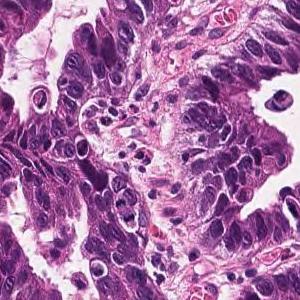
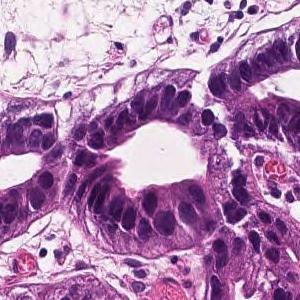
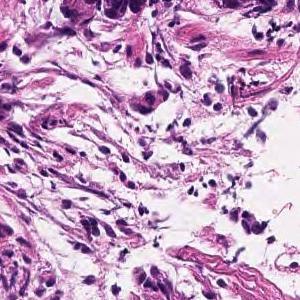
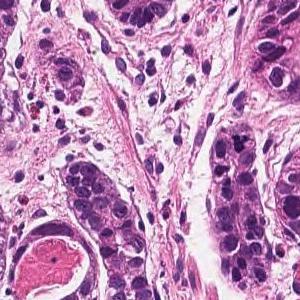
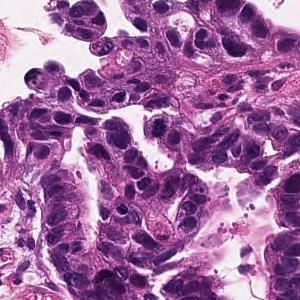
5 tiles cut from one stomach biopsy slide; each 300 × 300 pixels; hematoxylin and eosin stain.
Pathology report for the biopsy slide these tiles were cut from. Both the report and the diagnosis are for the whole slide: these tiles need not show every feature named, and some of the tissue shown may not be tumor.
In the superficial epithelium, tumor tissue that invades by forming medium-sized to small, irregular ducts is observed. Well differentiated tubular adenocarcinoma.
